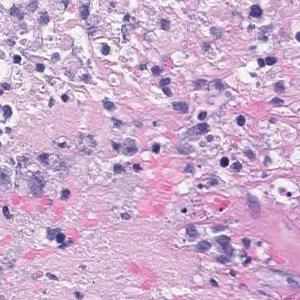
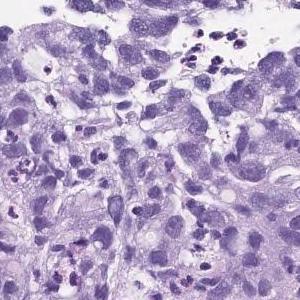
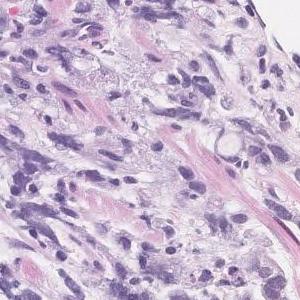
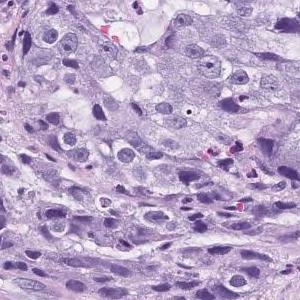
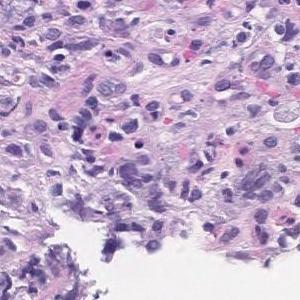
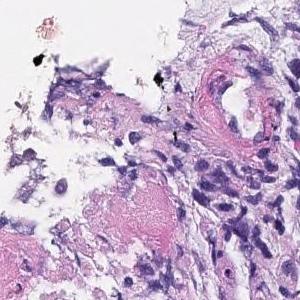
20× magnification; 6 tiles cut from one stomach biopsy slide.
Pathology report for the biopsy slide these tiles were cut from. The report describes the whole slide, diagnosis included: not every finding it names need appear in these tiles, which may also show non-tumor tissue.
Atypical l cells with atypical nuclei forming solid vesicles or small irregular atypical ducts that proliferate in a complex manner. poorly differentiated adenocarcinoma, solid type, moderately differentiated tubular adenocarcinoma
The solid type named here is a Japanese Classification of Gastric Carcinoma category; WHO 2019 calls it tubular adenocarcinoma, poorly differentiated.
